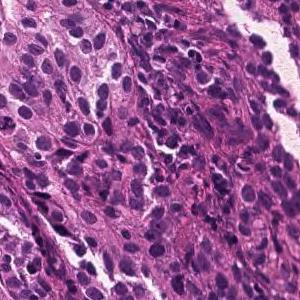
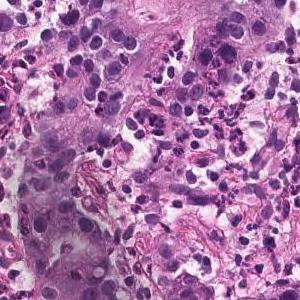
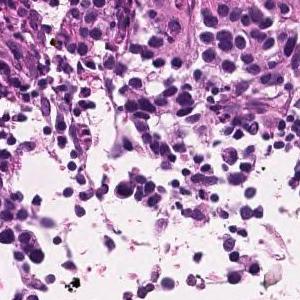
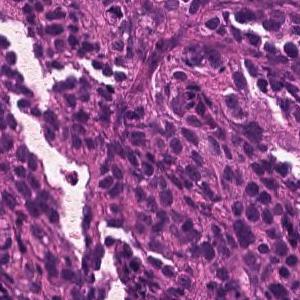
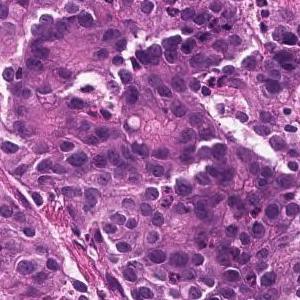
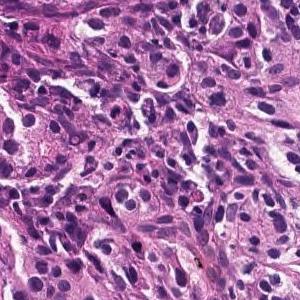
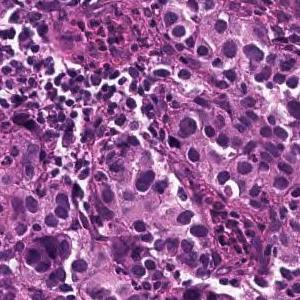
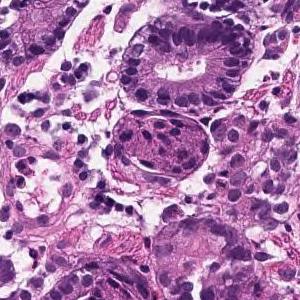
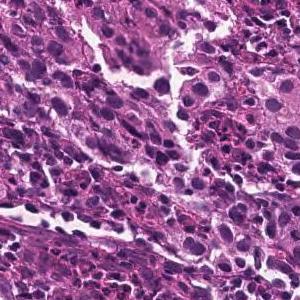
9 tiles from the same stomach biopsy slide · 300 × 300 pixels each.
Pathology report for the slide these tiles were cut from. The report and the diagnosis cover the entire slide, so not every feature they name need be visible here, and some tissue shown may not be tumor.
Medium to small, irregular glandular ducts are formed in the superficial epithelium, and in some cases, the glandular ducts are fused to show solid alveolar lesions and infiltrating tumor tissue is observed. Moderately to poorly differentiated adenocarcinoma.
